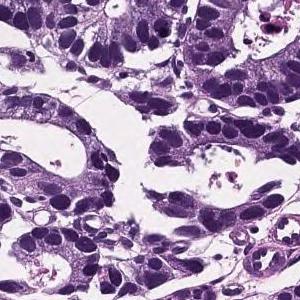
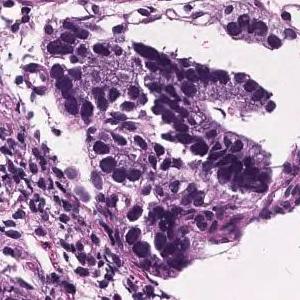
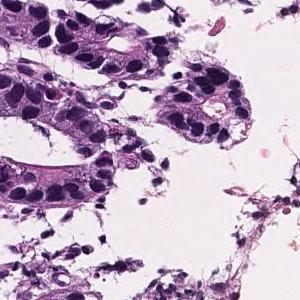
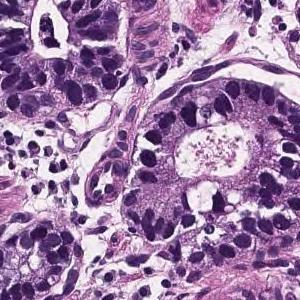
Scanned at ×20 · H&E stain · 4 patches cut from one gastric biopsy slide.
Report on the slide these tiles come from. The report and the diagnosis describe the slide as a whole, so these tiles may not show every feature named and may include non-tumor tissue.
In the superficial epithelium, tumor tissue that invades by forming medium-sized to small, irregular ducts is observed. Well differentiated tubular adenocarcinoma.
